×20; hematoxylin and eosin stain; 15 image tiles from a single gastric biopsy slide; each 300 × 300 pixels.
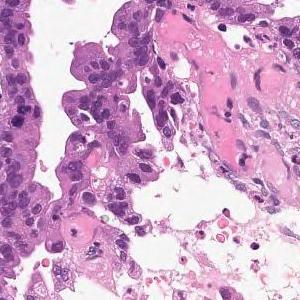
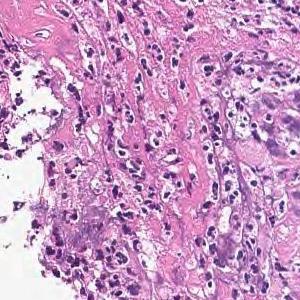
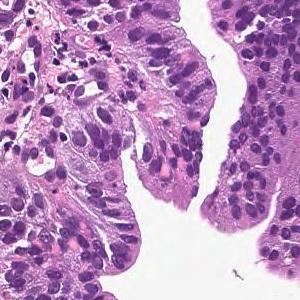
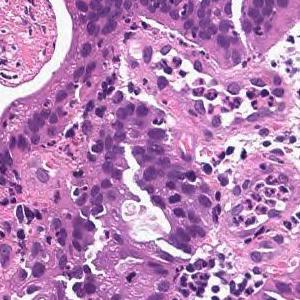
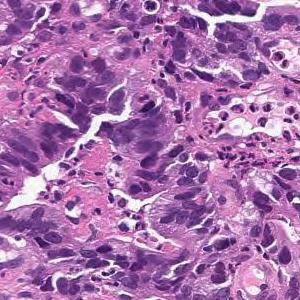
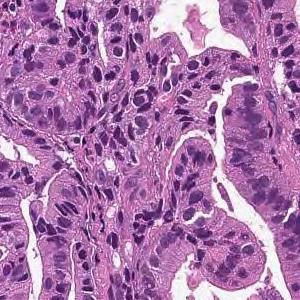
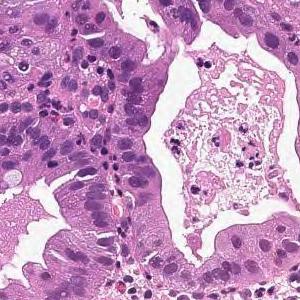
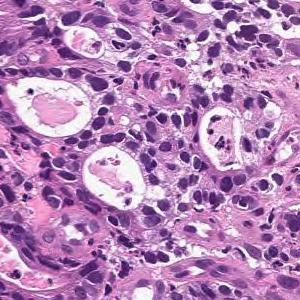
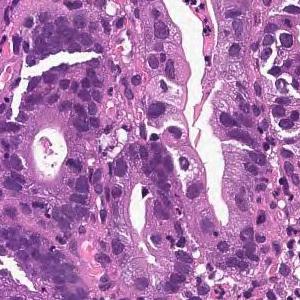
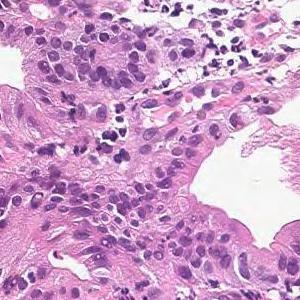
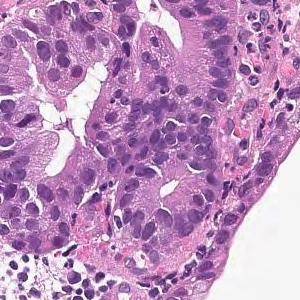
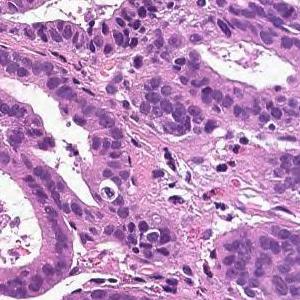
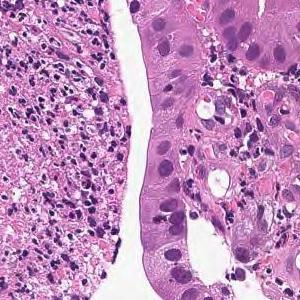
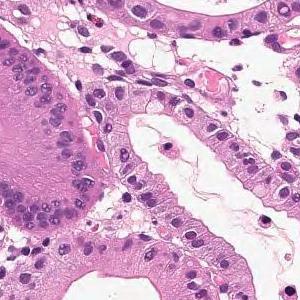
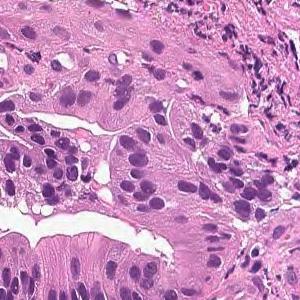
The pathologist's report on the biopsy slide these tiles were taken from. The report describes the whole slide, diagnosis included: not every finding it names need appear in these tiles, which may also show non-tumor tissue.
From the superficial epithelium to the muscularis mucosae, tumor tissue consisting of medium-sized and irregular glandular ducts infiltrating is observed. Well differentiated tubular adenocarcinoma
